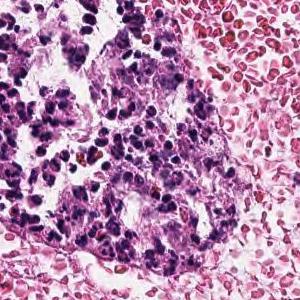
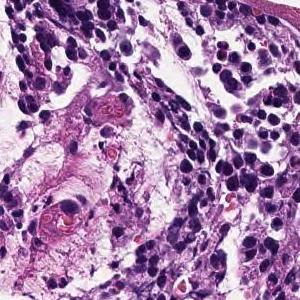
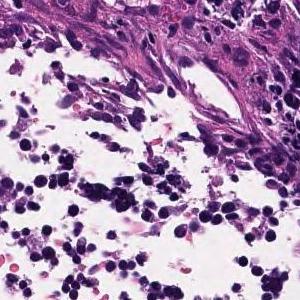
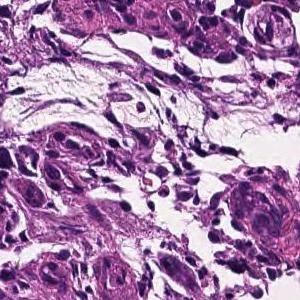
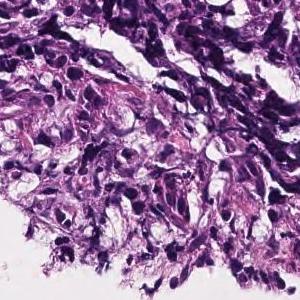
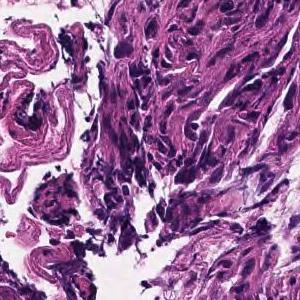
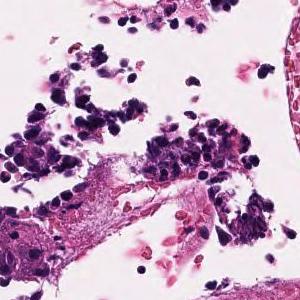
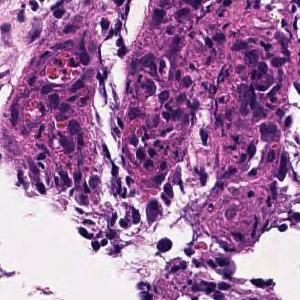
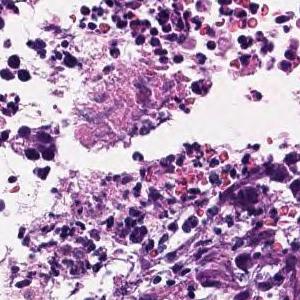
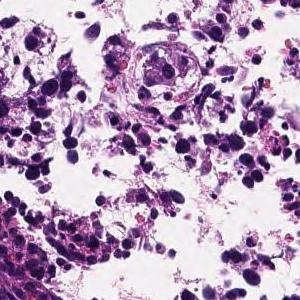
10 tiles cut from one stomach biopsy slide · 300 × 300 pixels each · H&E stain · ×20.
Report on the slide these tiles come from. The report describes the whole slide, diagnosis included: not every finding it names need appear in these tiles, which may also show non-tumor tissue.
The superficial epithelium shows a large sheet-like shape, and some tumor tissue infiltrates with small irregular ducts. Poorly differentiated adenocarcinoma, solid-type
Histological subtype: Poorly differentiated adenocarcinoma, solid type, a category of the Japanese Classification of Gastric Carcinoma; in the WHO 2019 classification it is tubular adenocarcinoma, poorly differentiated.
